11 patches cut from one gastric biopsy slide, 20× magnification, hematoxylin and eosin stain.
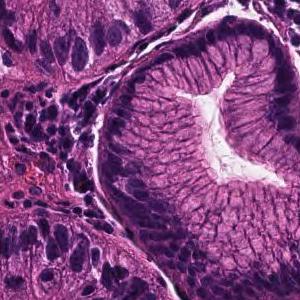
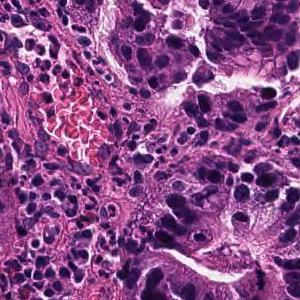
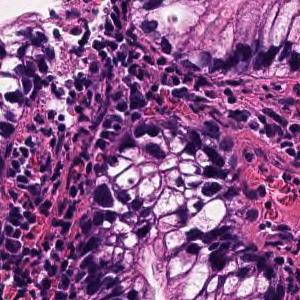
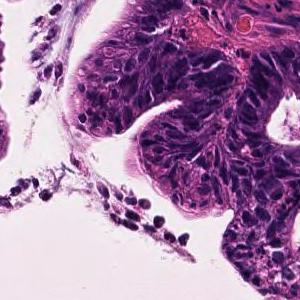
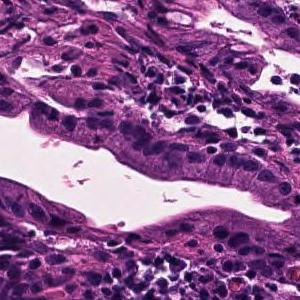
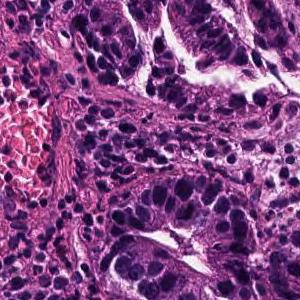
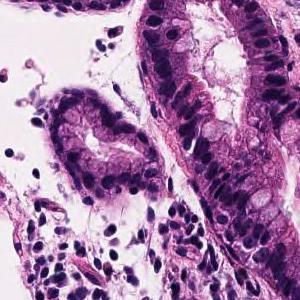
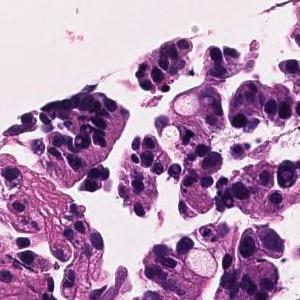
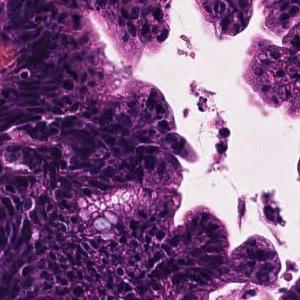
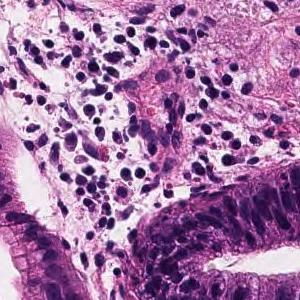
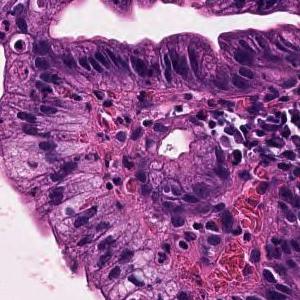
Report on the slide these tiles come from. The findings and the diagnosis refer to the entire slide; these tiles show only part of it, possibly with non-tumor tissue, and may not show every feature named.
Tumor cells are large, highly columnar, large club-shaped nuclei, and are associated with chromatin aggregation. Papillary adenocarcinoma.
